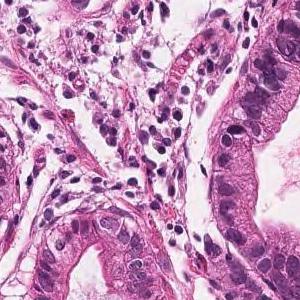
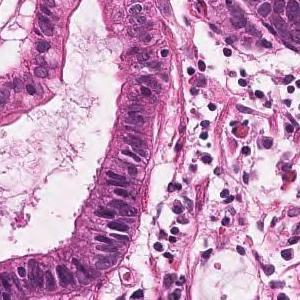
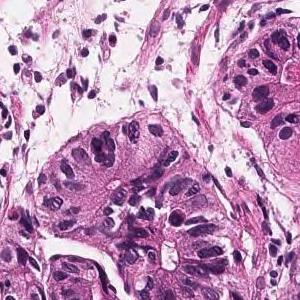
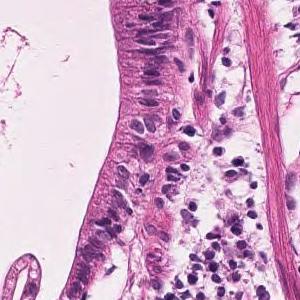
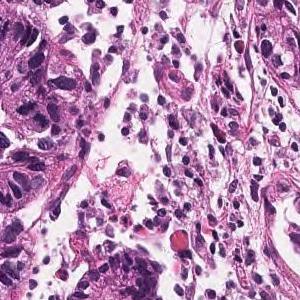
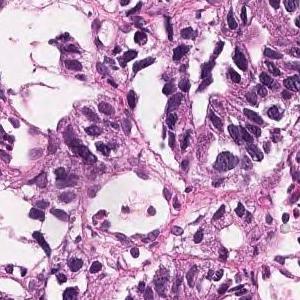
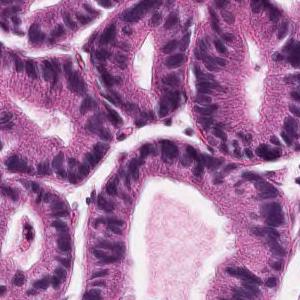
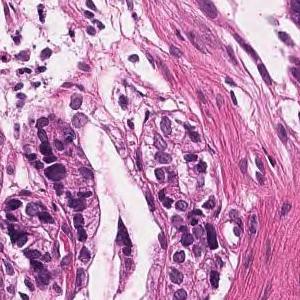
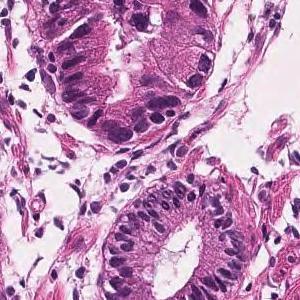
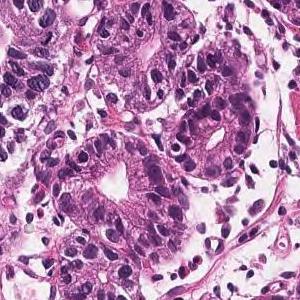
H&E; 20× magnification; 10 image tiles from a single gastric biopsy slide; each 300 × 300 pixels.
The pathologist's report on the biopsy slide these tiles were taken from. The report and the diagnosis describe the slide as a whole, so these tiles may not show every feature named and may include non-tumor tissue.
On the superficial epithelium, tumor tissue that infiltrates by forming medium-sized papillary or small irregular ducts is observed. Papillary adenocarcinoma
